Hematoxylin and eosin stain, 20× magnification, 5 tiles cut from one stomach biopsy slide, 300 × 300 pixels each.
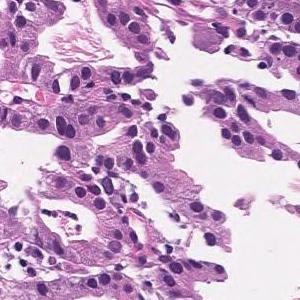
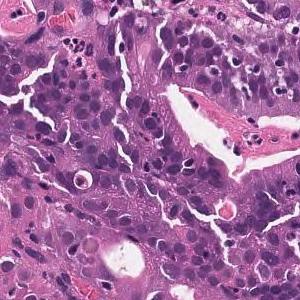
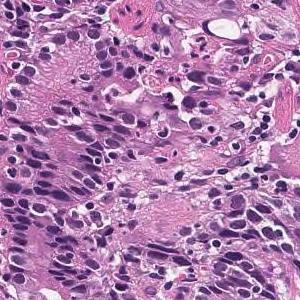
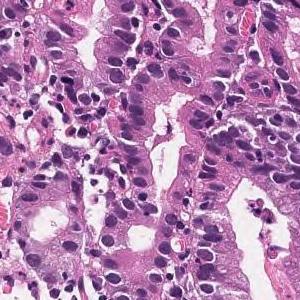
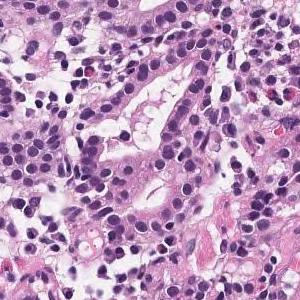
Diagnostic report for the slide these tiles come from. The report and the diagnosis describe the slide as a whole, so these tiles may not show every feature named and may include non-tumor tissue.
Medium to small, irregular glandular ducts are formed in the superficial epithelium, and in some cases, the glandular ducts are fused to show solid alveolar lesions and infiltrating tumor tissue is observed. Moderately to poorly differentiated adenocarcinoma.
